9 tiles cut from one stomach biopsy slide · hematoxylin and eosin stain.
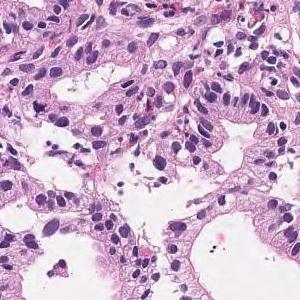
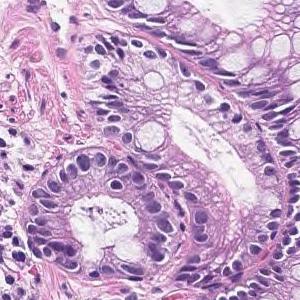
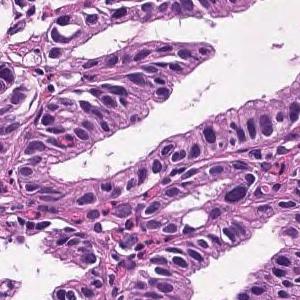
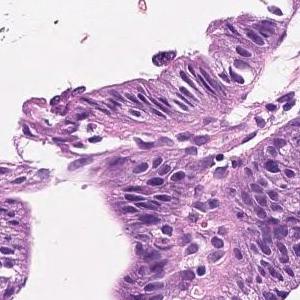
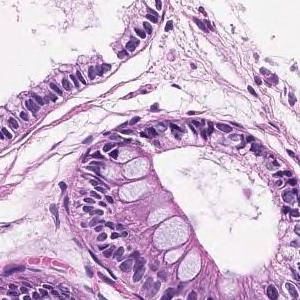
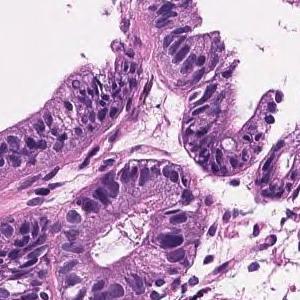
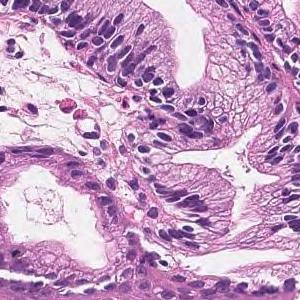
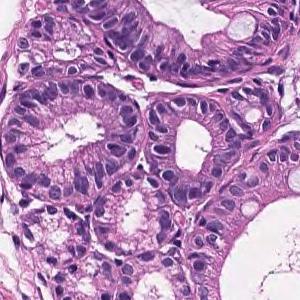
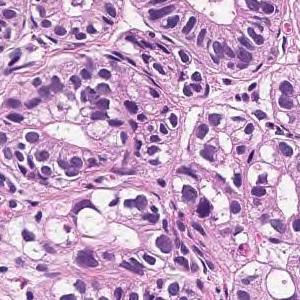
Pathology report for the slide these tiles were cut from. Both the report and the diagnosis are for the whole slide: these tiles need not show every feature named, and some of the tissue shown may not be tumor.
In the superficial epithelium, tumor tissue that invades by forming medium-sized to small, irregular ducts is observed. Well differentiated tubular adenocarcinoma.
